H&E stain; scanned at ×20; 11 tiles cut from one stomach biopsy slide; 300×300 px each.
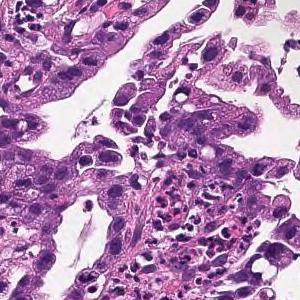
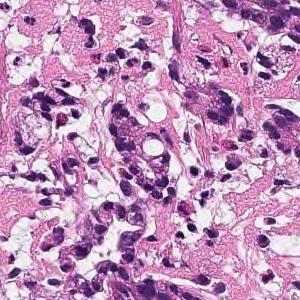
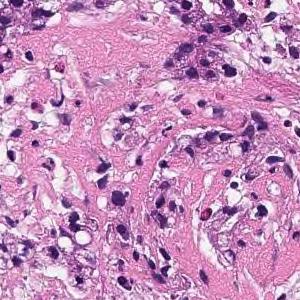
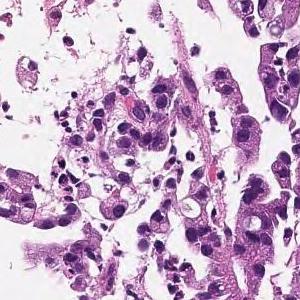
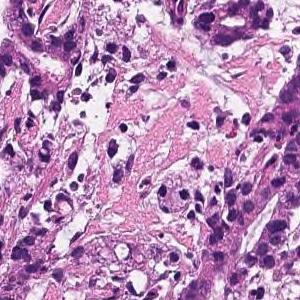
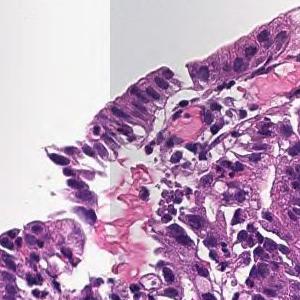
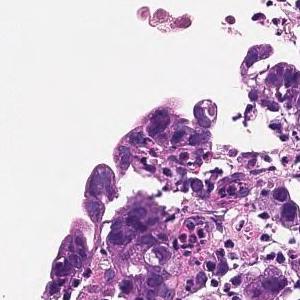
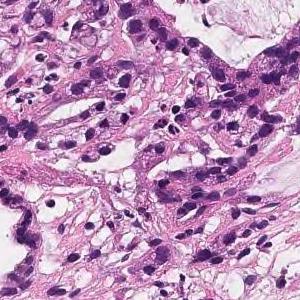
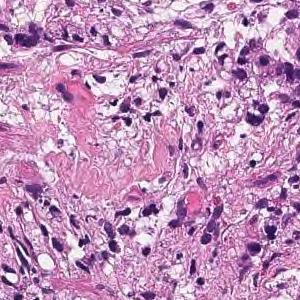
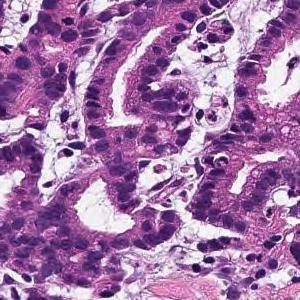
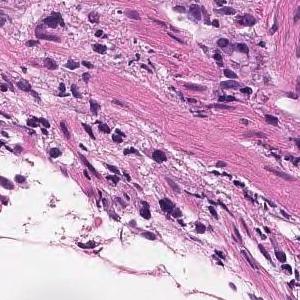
The pathologist's report on the biopsy slide these tiles were taken from. The report and the diagnosis describe the slide as a whole, so these tiles may not show every feature named and may include non-tumor tissue.
In the superficial epithelium, tumor tissue that invades by forming medium-sized to small, irregular ducts is observed. moderately differentiated tubular adenocarcinoma.
